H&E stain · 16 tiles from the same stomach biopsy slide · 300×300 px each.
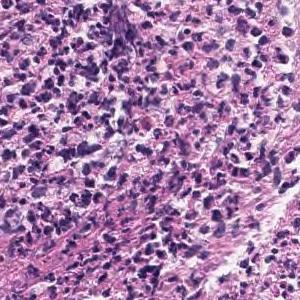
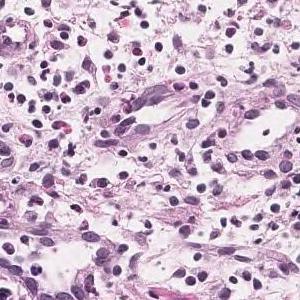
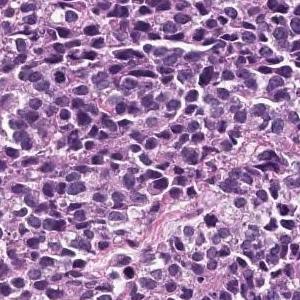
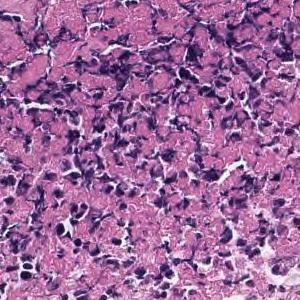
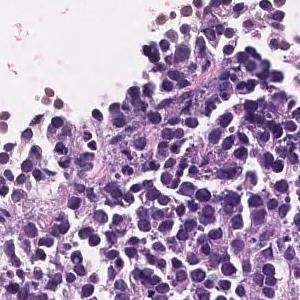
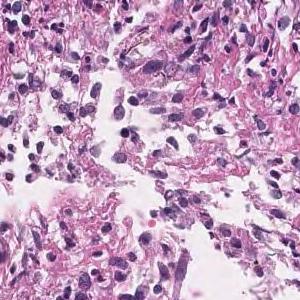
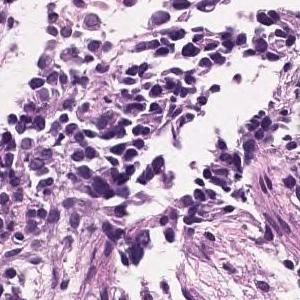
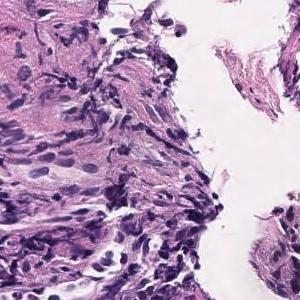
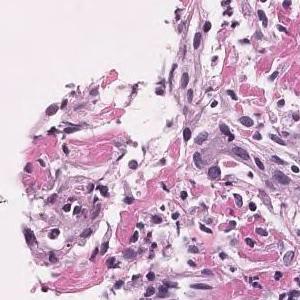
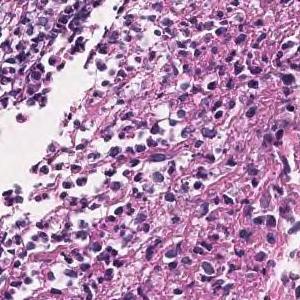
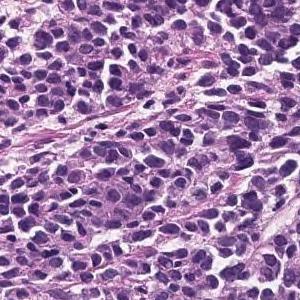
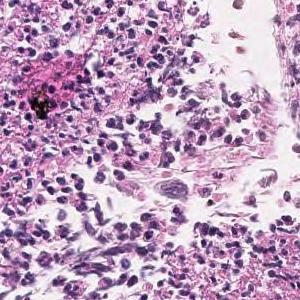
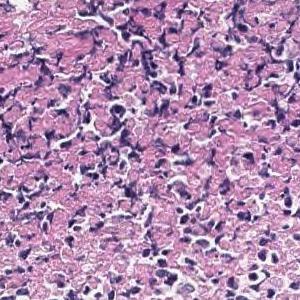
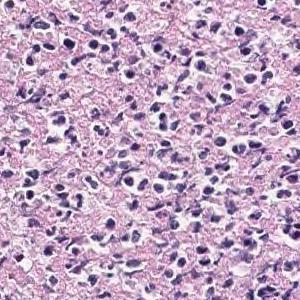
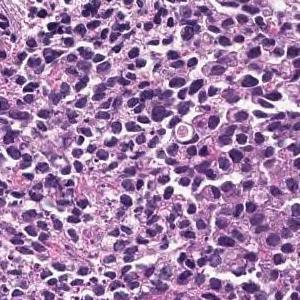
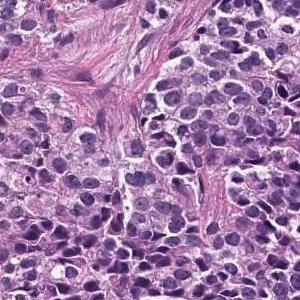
Pathology report for the slide these tiles were cut from. What the report and the diagnosis say applies to the whole slide; these tiles may miss some of the features named and may include tissue that is not tumor.
The superficial epithelium shows a large sheet-like shape, and some tumor tissue infiltrates with small irregular ducts. Poorly differentiated adenocarcinoma, solid-type
Histologic type: Poorly differentiated adenocarcinoma, solid type. This name comes from the Japanese Classification of Gastric Carcinoma; the WHO 2019 classification calls it tubular adenocarcinoma, poorly differentiated.
